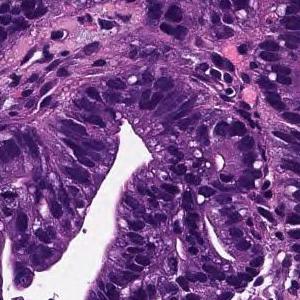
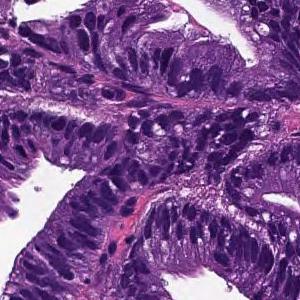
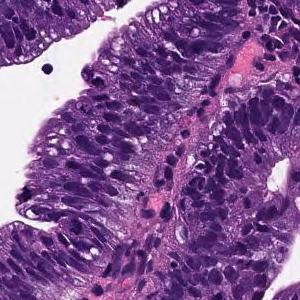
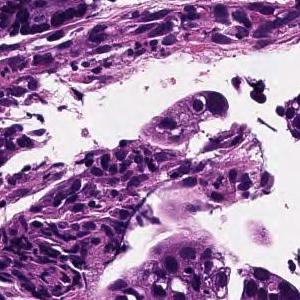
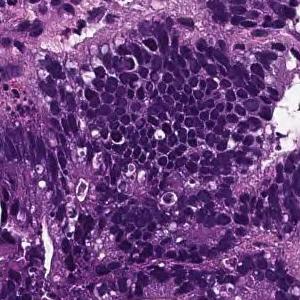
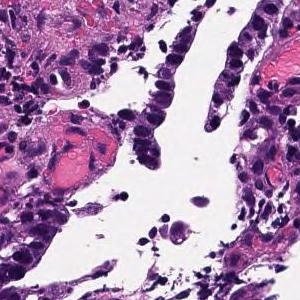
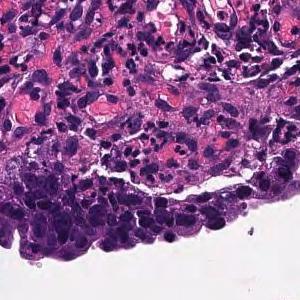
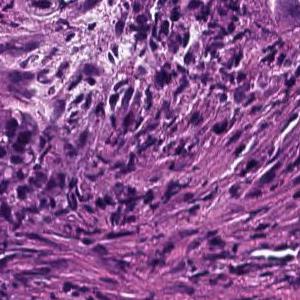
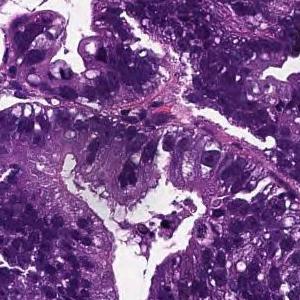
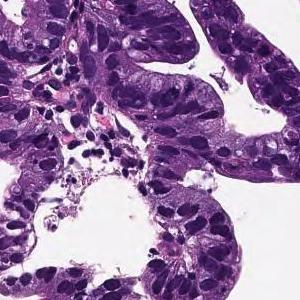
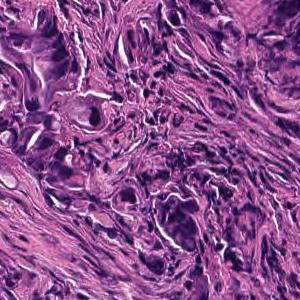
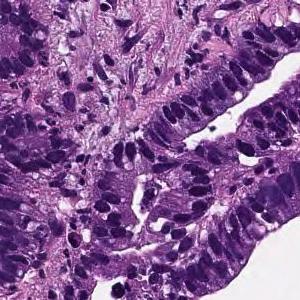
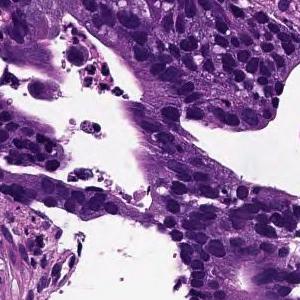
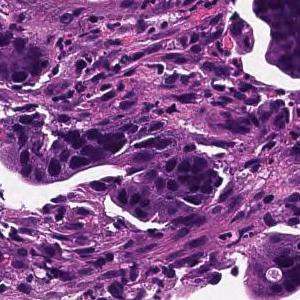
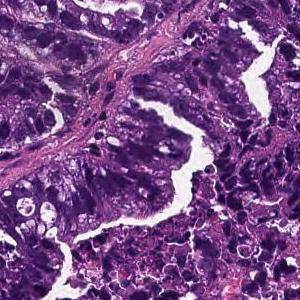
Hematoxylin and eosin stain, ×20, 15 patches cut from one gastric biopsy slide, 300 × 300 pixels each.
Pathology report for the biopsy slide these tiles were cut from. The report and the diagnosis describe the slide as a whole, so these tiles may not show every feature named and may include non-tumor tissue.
Tumor cells are large, highly columnar, large club-shaped nuclei, and are associated with chromatin aggregation. Papillary adenocarcinoma.
